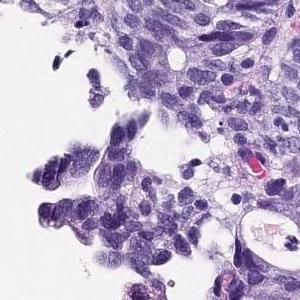
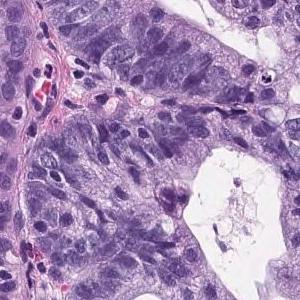
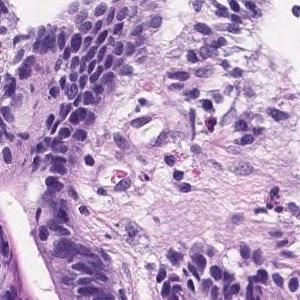
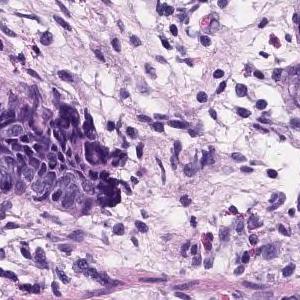
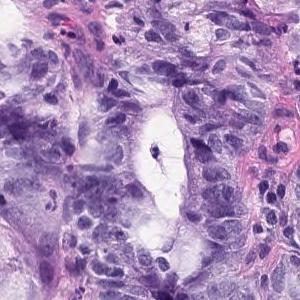
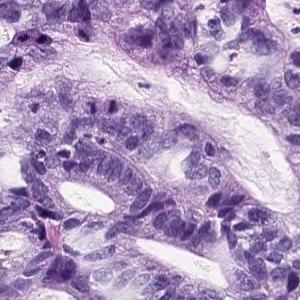
H&E; ×20; 6 tiles from the same stomach biopsy slide.
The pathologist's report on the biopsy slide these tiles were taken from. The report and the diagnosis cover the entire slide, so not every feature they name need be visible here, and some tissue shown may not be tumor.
On the superficial epithelium, tumor tissue consisting of medium-sized to large-sized, round or irregular glandular duct growth images is observed. Well differentiated adenocarcinoma.
Tumor subtype: well differentiated tubular adenocarcinoma.
